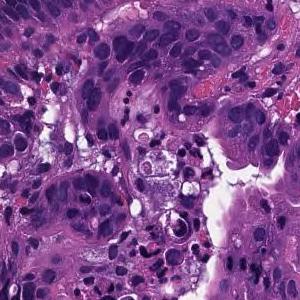
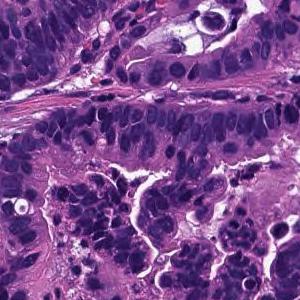
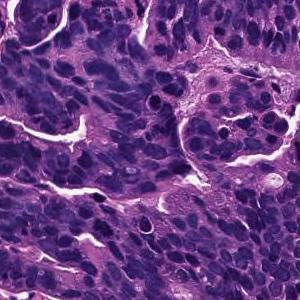
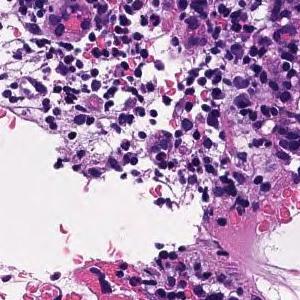
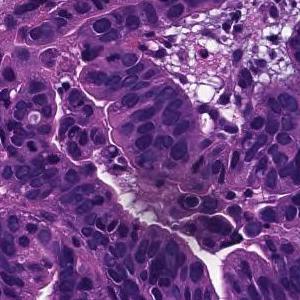
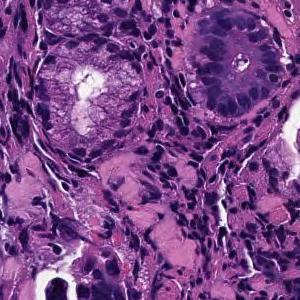
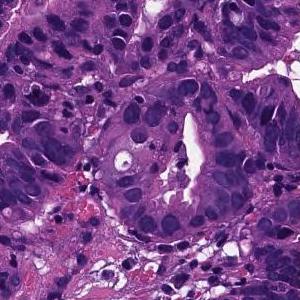
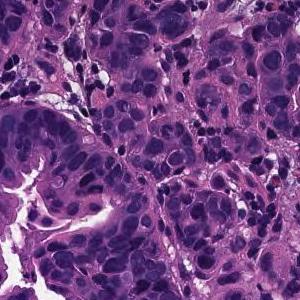
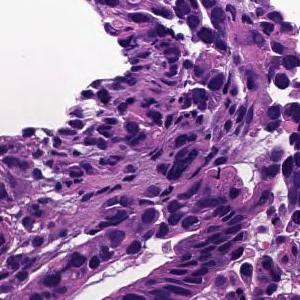
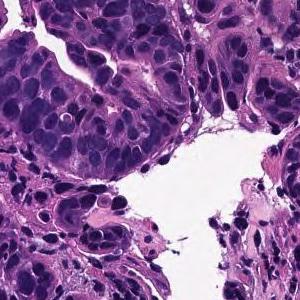
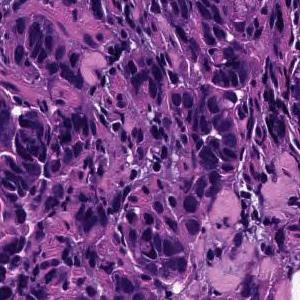
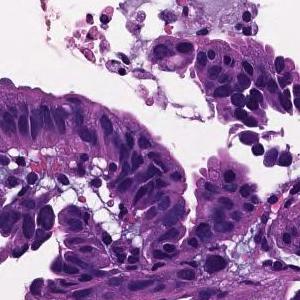
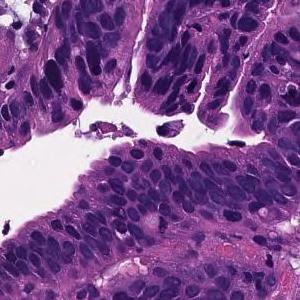
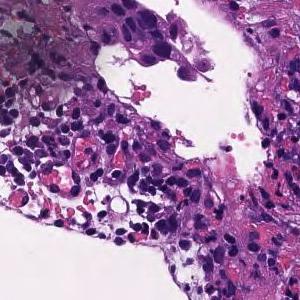
Scanned at ×20, H&E stain, 14 tiles cut from one stomach biopsy slide, each 300 × 300 pixels.
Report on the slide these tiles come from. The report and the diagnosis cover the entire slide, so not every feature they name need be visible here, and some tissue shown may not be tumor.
Tumor tissue consisting of medium-sized, cord-like or irregular glandular infiltration is observed in the superficial epithelium. Poorly differentiated adenocarcinoma, non-solid type or moderately differentiated tubular adenocarcinoma
Histological subtype: Moderately to poorly differentiated adenocarcinoma.
The term "non-solid type" comes from the Japanese Classification of Gastric Carcinoma.
